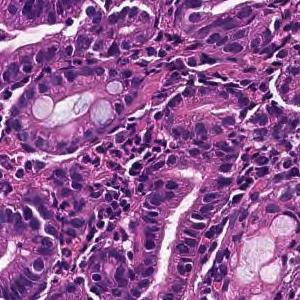
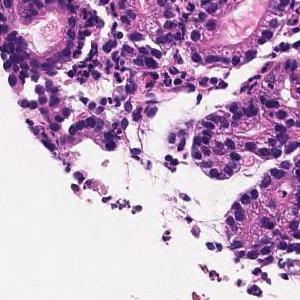
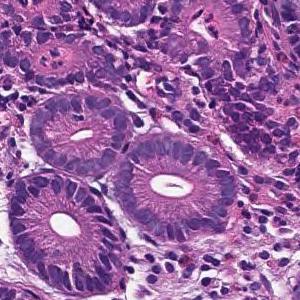
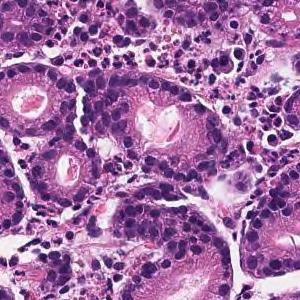
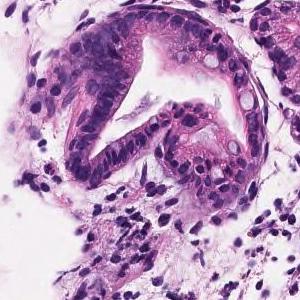
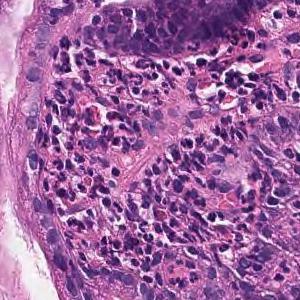
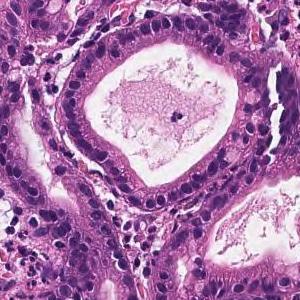
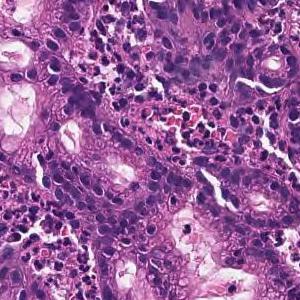
Scanned at ×20; H&E; 8 image tiles from a single gastric biopsy slide; 300×300 px each.
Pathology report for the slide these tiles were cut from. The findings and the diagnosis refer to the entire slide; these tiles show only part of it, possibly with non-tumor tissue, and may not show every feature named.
Tumor tissue infiltrated and proliferated with small to medium-sized irregular tubules is observed in the superficial epithelium. Well differentiated tubular adenocarcinoma
